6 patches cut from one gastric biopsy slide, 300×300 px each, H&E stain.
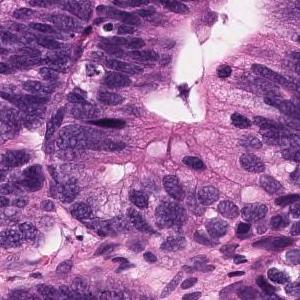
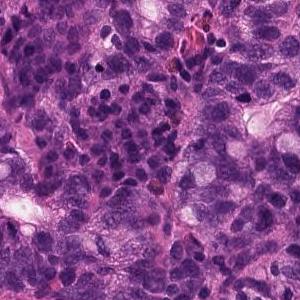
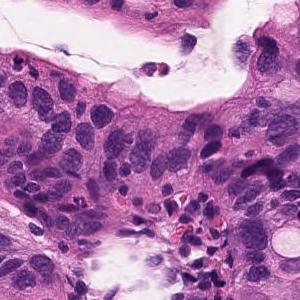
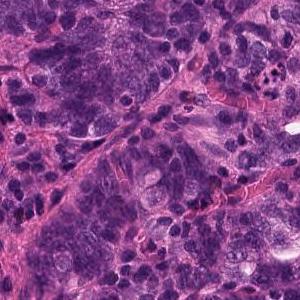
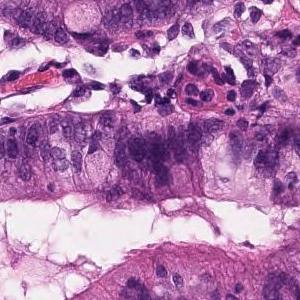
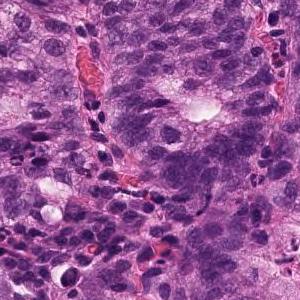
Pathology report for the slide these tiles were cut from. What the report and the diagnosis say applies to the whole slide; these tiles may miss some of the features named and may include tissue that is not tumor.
In the superficial epithelium, tumor tissue that invades by forming medium-sized to small, irregular ducts is observed. Moderately differentiated adenocarcinoma.
Histologic type: Moderately differentiated tubular adenocarcinoma.
